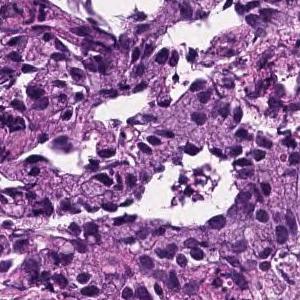
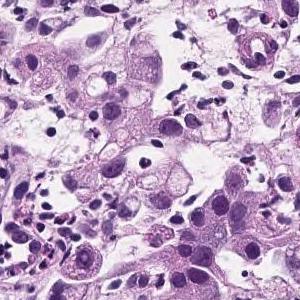
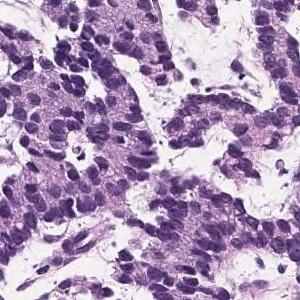
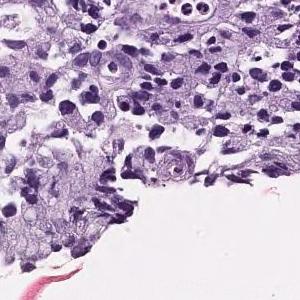
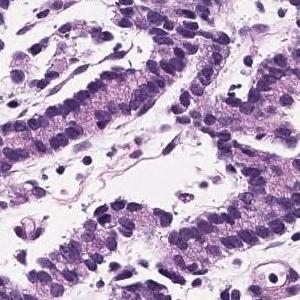
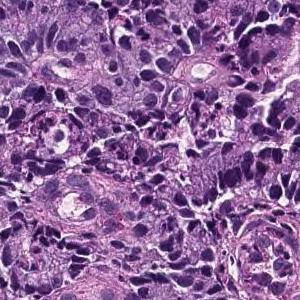
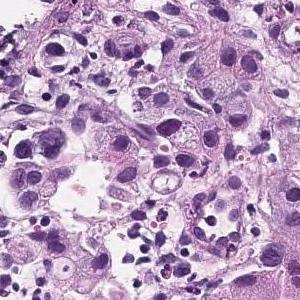
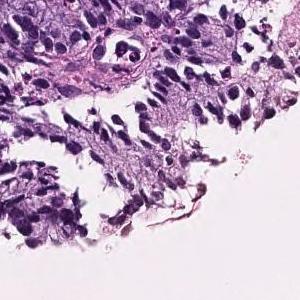
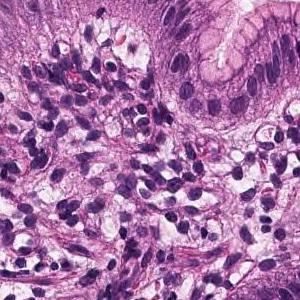
9 patches cut from one gastric biopsy slide · 300×300 px each · H&E · 20× magnification.
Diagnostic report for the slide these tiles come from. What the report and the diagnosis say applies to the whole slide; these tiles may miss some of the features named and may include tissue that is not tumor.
Tumor tissue infiltrated by irregular fusion of small cord-like structures is found in the superficial epithelium. Poorly differentiated adenocarcinoma, non-solid type
The non-solid type named here is a Japanese Classification of Gastric Carcinoma category.
